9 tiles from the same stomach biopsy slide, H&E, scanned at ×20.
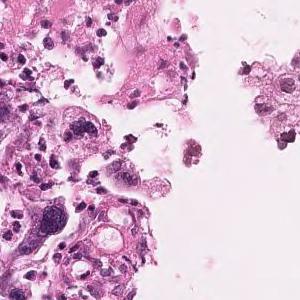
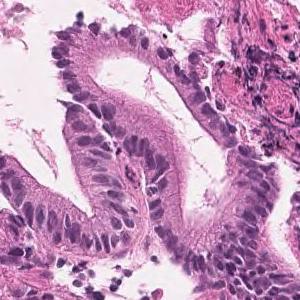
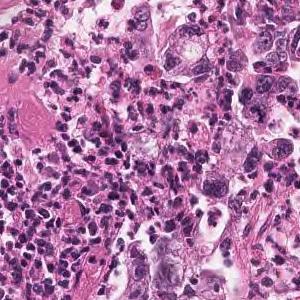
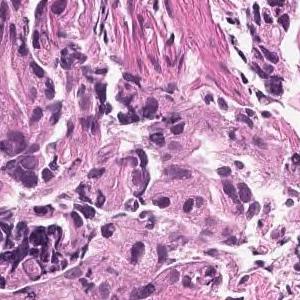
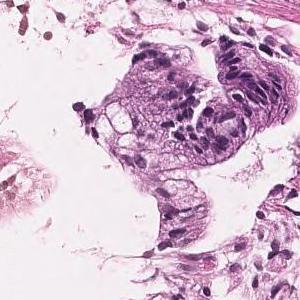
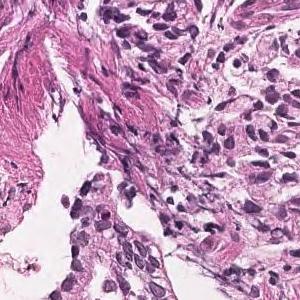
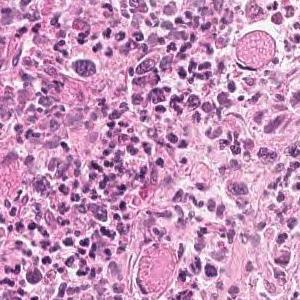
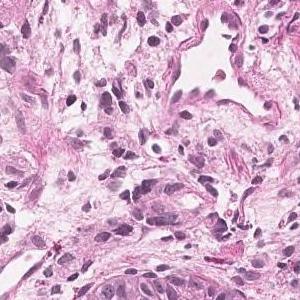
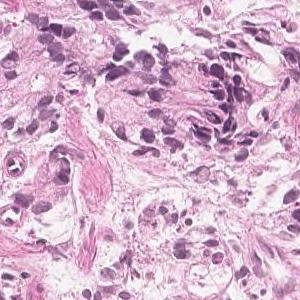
Pathology report for the biopsy slide these tiles were cut from. Both the report and the diagnosis are for the whole slide: these tiles need not show every feature named, and some of the tissue shown may not be tumor.
In the superficial epithelium, medium to small irregular gland ducts are formed, and in some cases, the ducts are fused to show solid alveolar lesions and infiltrating tumor tissue is observed. Moderately to poorly differentiated adenocarcinoma
